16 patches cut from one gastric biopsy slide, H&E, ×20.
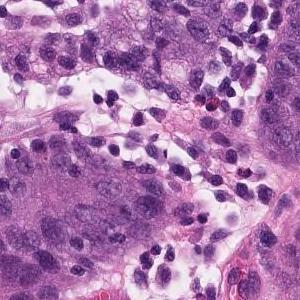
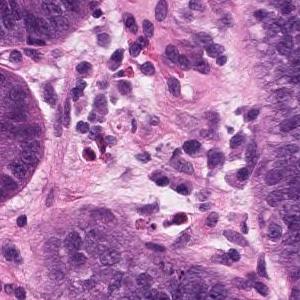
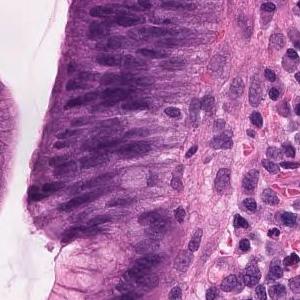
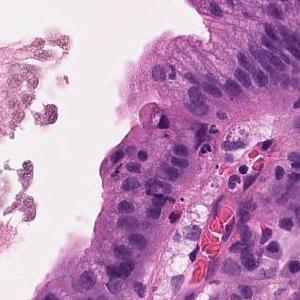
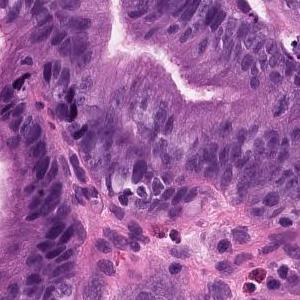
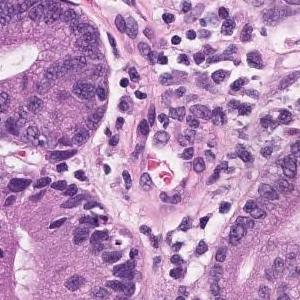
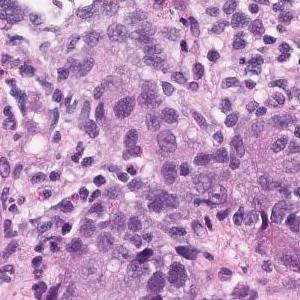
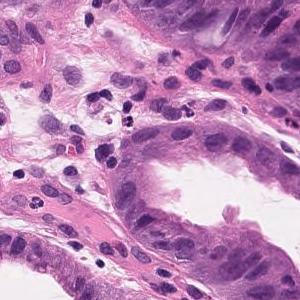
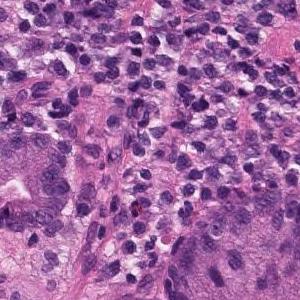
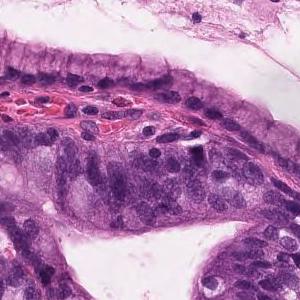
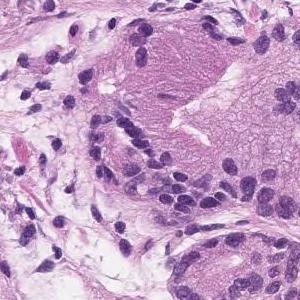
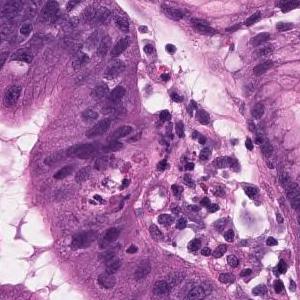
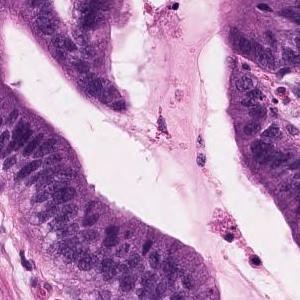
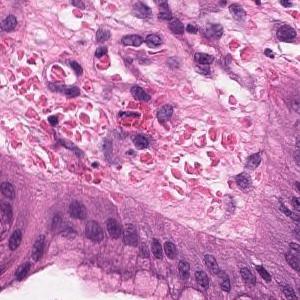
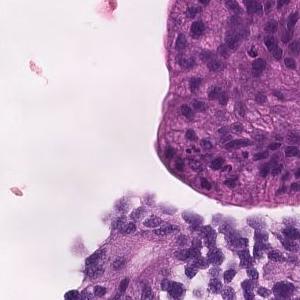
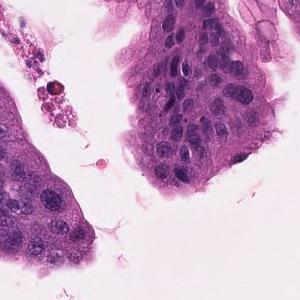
Report on the slide these tiles come from. The report describes the whole slide, diagnosis included: not every finding it names need appear in these tiles, which may also show non-tumor tissue.
On the superficial epithelium, tumor tissue consisting of large, irregular glandular ducts partially fused and infiltrated is observed. Well to moderately differentiated tubular adenocarcinoma (well differentiated tubular adenocarcinoma, moderately differentiated tubular adenocarcinoma)
Histologic type: Well to moderately differentiated tubular adenocarcinoma.
